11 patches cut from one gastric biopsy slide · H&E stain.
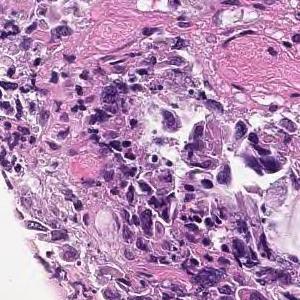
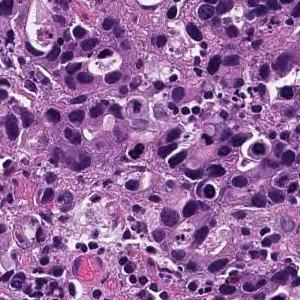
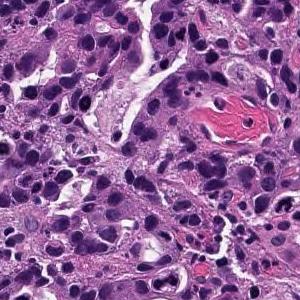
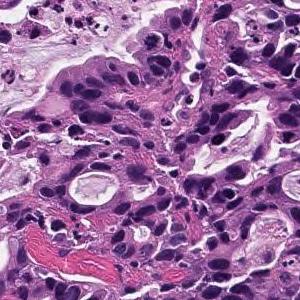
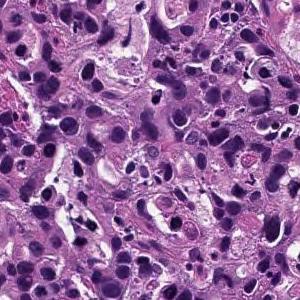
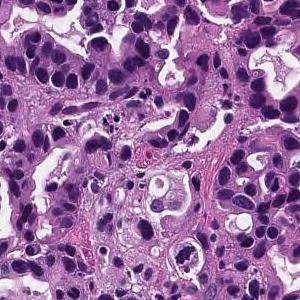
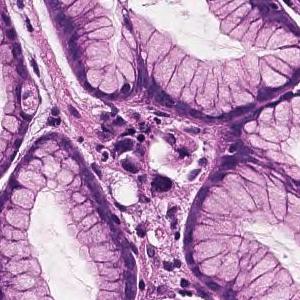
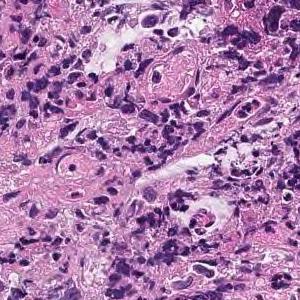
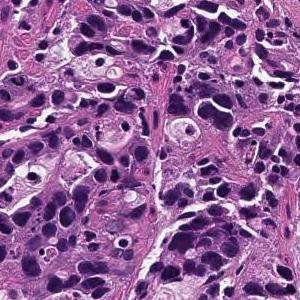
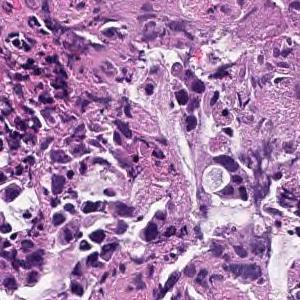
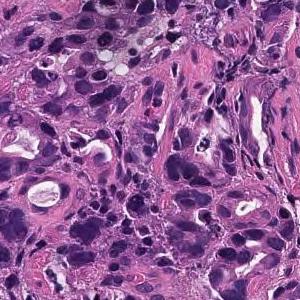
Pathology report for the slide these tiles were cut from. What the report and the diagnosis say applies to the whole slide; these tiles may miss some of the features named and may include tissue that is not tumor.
In the superficial epithelium, tumor tissue that invades by forming medium-sized to small, irregular ducts is observed. moderately differentiated tubular adenocarcinoma.
